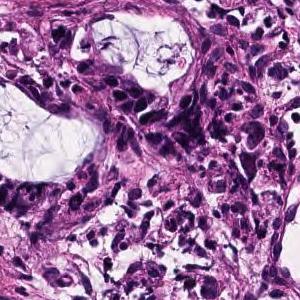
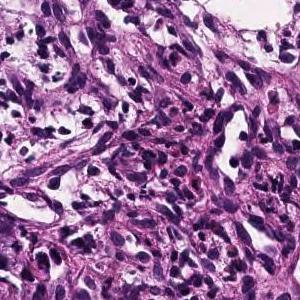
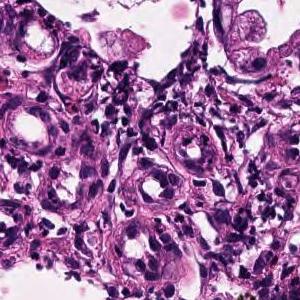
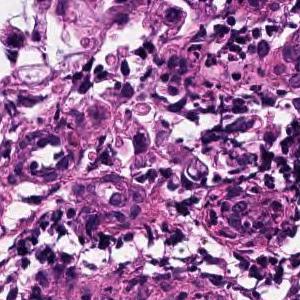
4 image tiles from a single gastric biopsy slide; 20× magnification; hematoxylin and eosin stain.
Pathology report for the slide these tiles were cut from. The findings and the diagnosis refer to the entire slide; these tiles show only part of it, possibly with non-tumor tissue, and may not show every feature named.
On the superficial epithelium, tumor tissue consisting of large, irregular glandular ducts partially fused and infiltrated is observed. Well to moderately differentiated tubular adenocarcinoma (well differentiated tubular adenocarcinoma, moderately differentiated tubular adenocarcinoma)
Histologic type: Well to moderately differentiated tubular adenocarcinoma.
